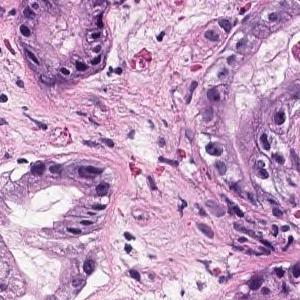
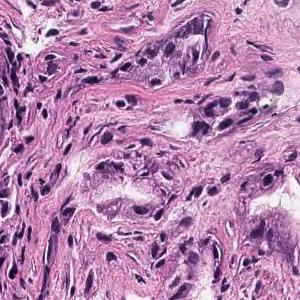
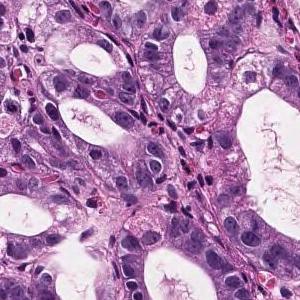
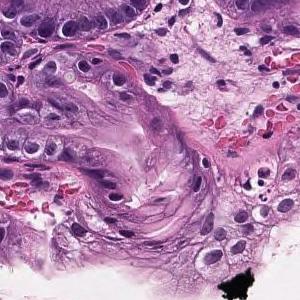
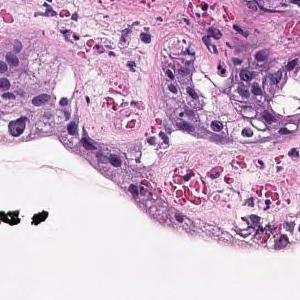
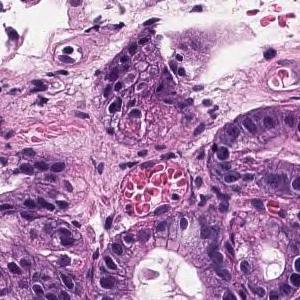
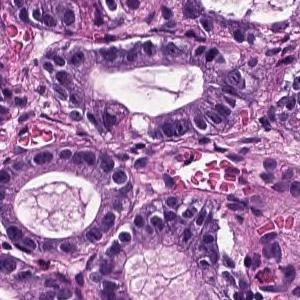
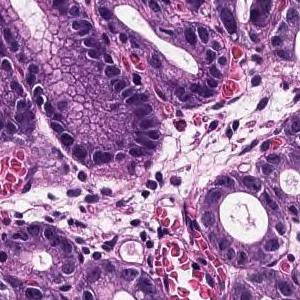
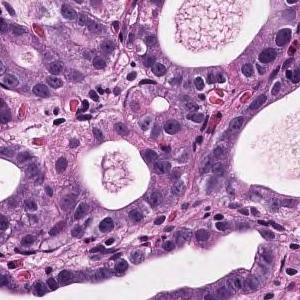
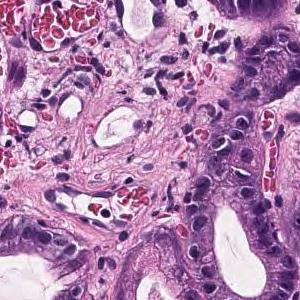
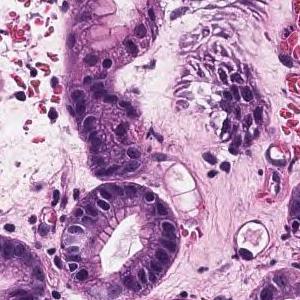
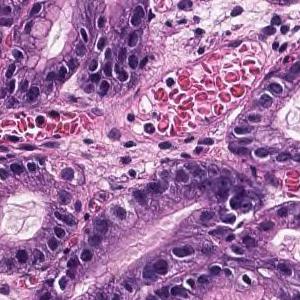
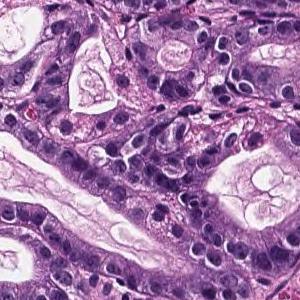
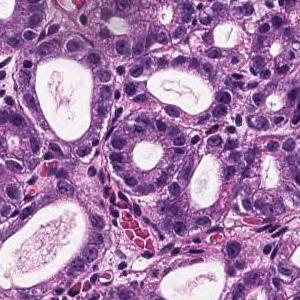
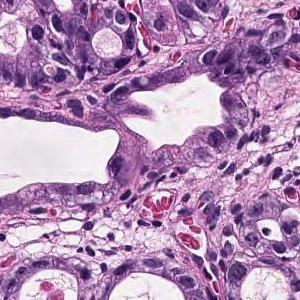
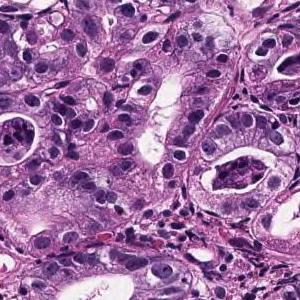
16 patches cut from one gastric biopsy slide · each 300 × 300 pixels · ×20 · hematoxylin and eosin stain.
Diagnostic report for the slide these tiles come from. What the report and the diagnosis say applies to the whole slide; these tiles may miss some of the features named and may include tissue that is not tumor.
On the superficial epithelium, tumor tissue that infiltrates by forming medium-sized round or small irregular ducts is observed. Papillary adenocarcinoma
